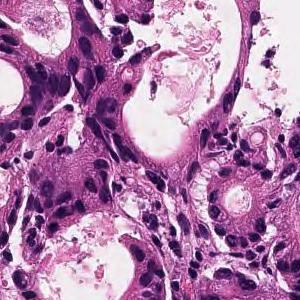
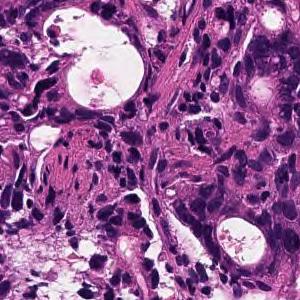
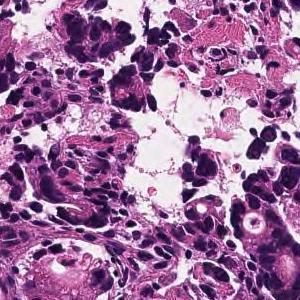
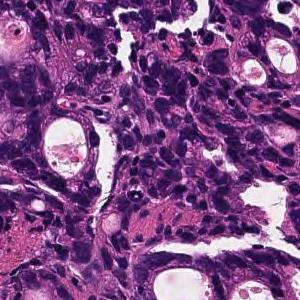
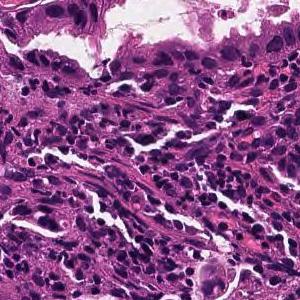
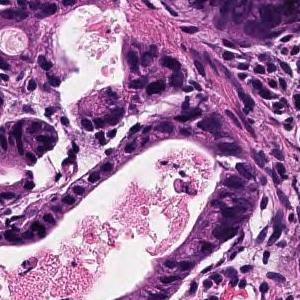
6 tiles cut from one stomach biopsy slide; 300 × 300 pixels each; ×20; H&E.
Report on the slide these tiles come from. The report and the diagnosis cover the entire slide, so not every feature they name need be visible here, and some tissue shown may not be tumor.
In the superficial epithelium, tumor tissue that invades by forming medium-sized to small, irregular ducts is observed. moderately differentiated tubular adenocarcinoma.
